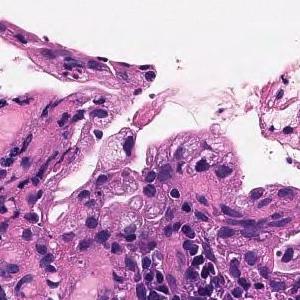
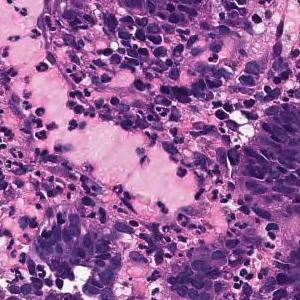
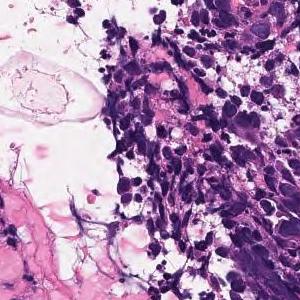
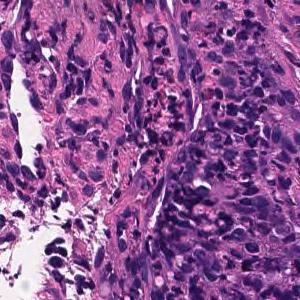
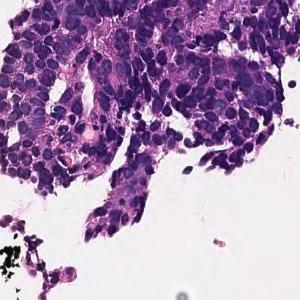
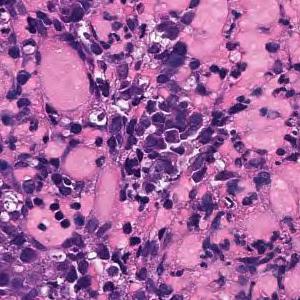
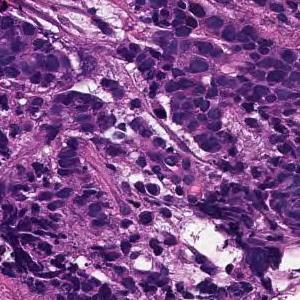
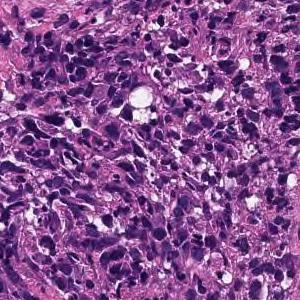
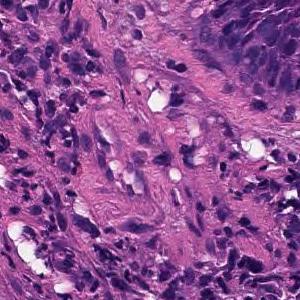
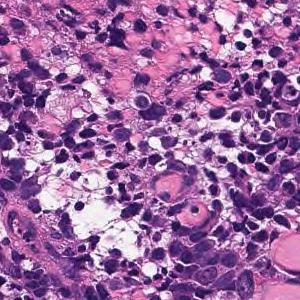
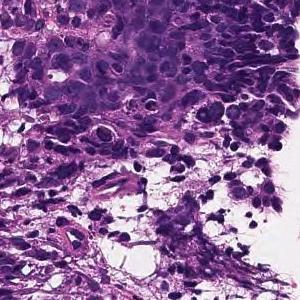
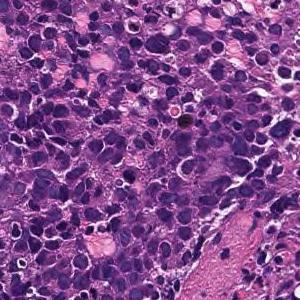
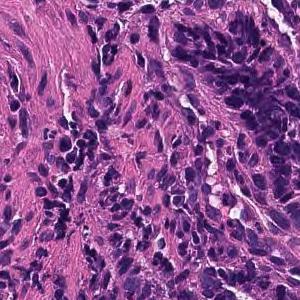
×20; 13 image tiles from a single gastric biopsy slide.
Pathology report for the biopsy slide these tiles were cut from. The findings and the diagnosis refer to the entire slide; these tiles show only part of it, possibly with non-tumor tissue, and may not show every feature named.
Large sheet-like or diffusely infiltrating tumor tissue is found in the superficial epithelium. Poorly differentiated adenocarcinoma, solid-type
Tumor subtype: poorly differentiated adenocarcinoma, solid type, a category of the Japanese Classification of Gastric Carcinoma; in the WHO 2019 classification it is tubular adenocarcinoma, poorly differentiated.
